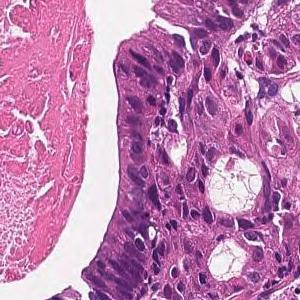
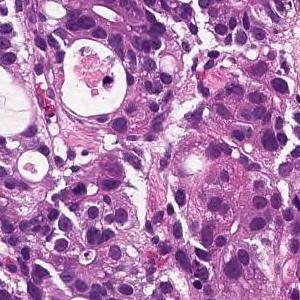
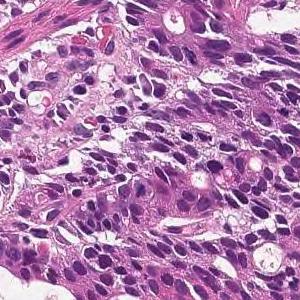
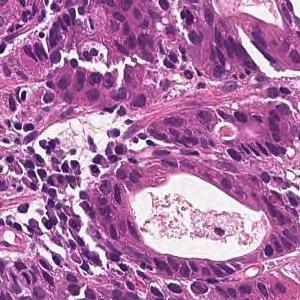
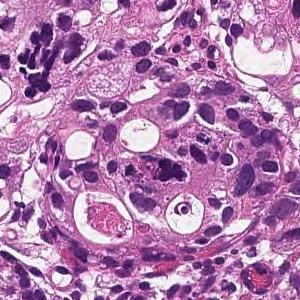
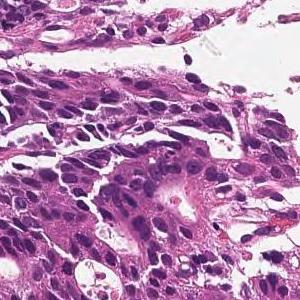
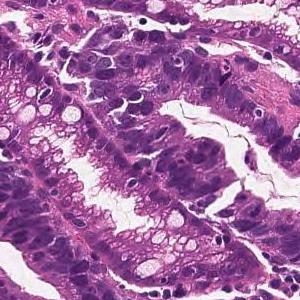
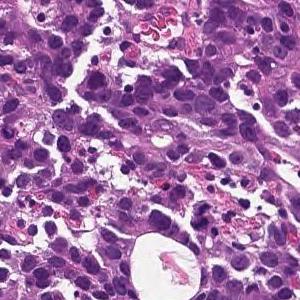
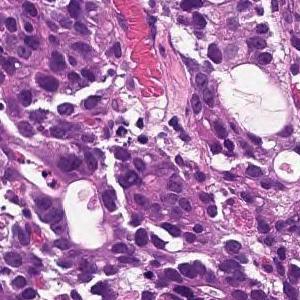
H&E stain; ×20; 9 image tiles from a single gastric biopsy slide; each 300 × 300 pixels.
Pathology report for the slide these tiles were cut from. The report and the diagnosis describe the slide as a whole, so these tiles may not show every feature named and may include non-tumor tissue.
On the superficial epithelium, tumor tissue is found in which medium-sized irregular gland ducts fuse with each other and infiltrate. moderately differentiated tubular adenocarcinoma
